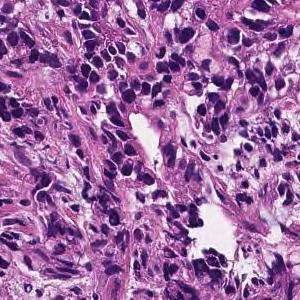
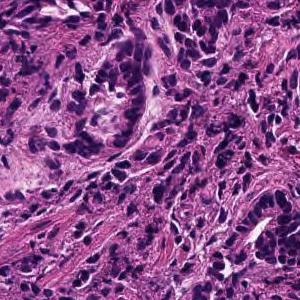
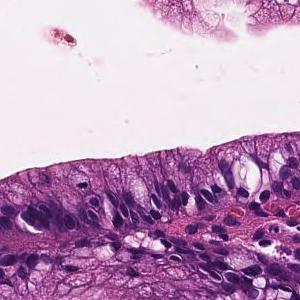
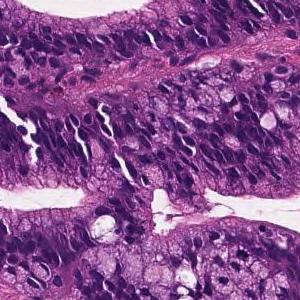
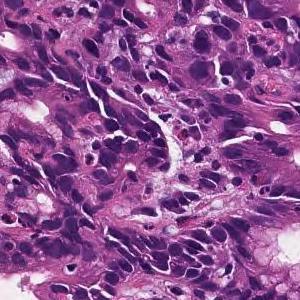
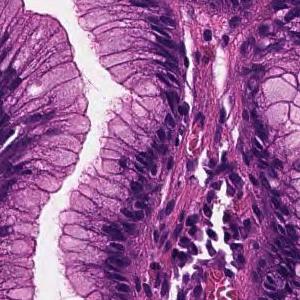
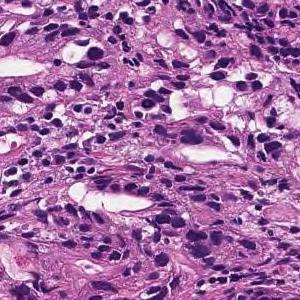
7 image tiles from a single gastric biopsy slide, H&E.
Pathology report for the slide these tiles were cut from. Both the report and the diagnosis are for the whole slide: these tiles need not show every feature named, and some of the tissue shown may not be tumor.
On the superficial epithelium, tumor tissue consisting of medium-sized and irregular glandular ducts partially fused and infiltrated is observed. Well to moderately differentiated tubular adenocarcinoma (well differentiated tubular adenocarcinoma-moderately differentiated tubular adenocarcinoma)
Classified as well to moderately differentiated tubular adenocarcinoma.
